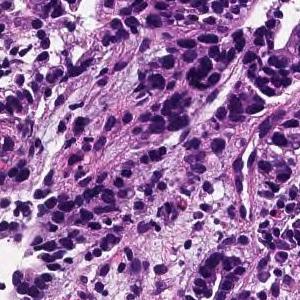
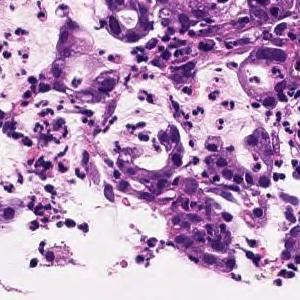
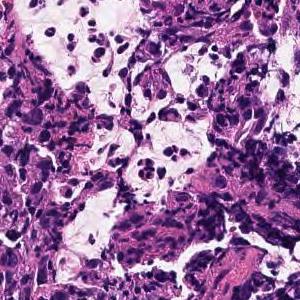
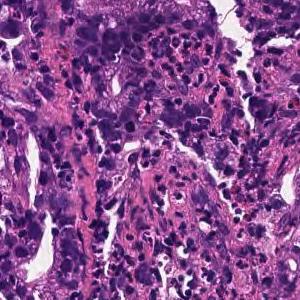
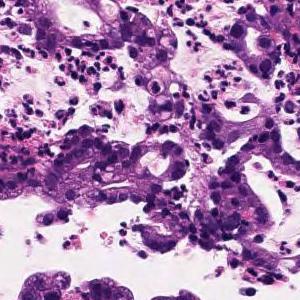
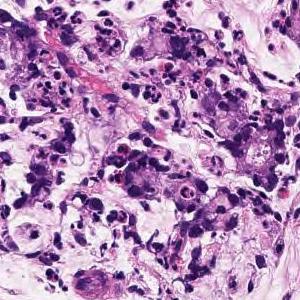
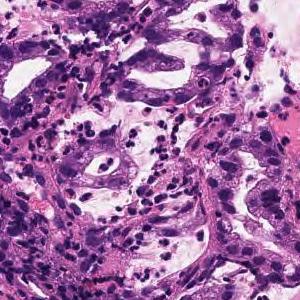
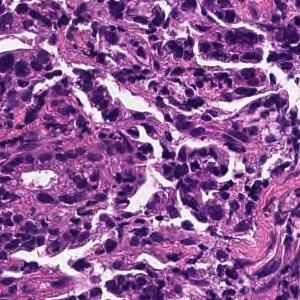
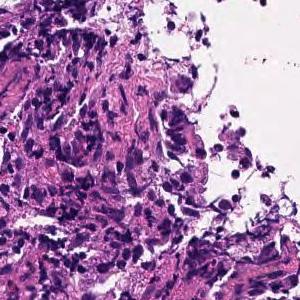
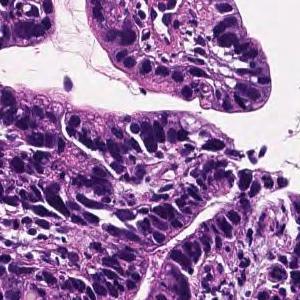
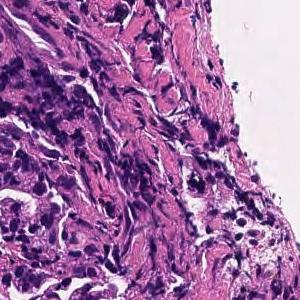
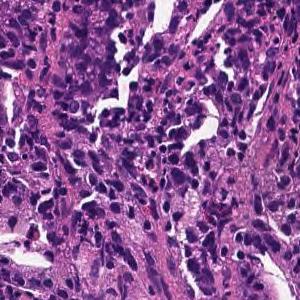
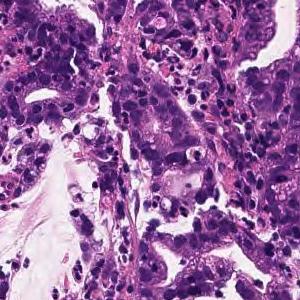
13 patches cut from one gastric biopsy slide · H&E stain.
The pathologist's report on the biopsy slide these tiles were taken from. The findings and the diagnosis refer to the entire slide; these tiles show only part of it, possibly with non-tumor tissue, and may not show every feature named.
On the superficial epithelium, tumor tissue consisting of large, irregular glandular ducts partially fused and infiltrated is observed. Well to moderately differentiated tubular adenocarcinoma (well differentiated tubular adenocarcinoma, moderately differentiated tubular adenocarcinoma)
Histological subtype: Well to moderately differentiated tubular adenocarcinoma.
